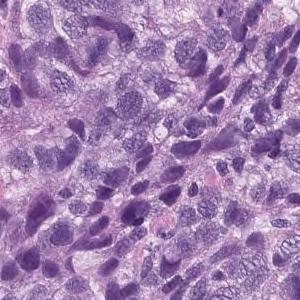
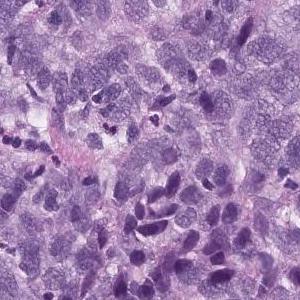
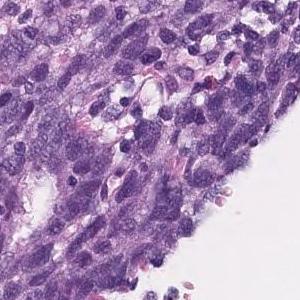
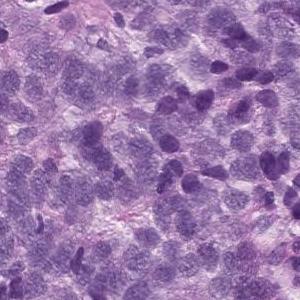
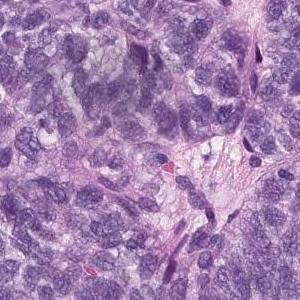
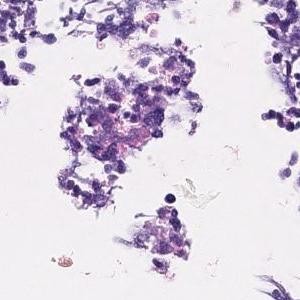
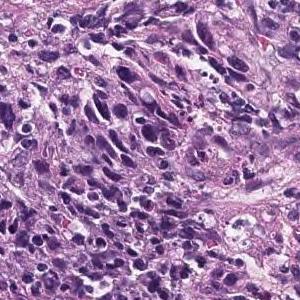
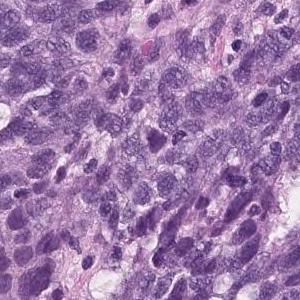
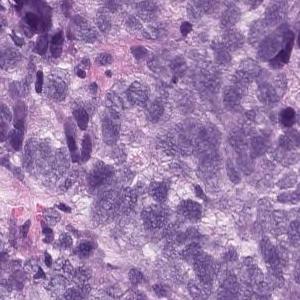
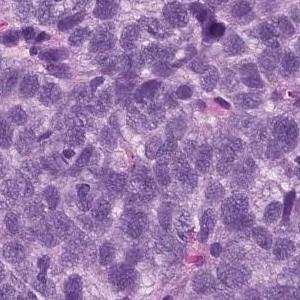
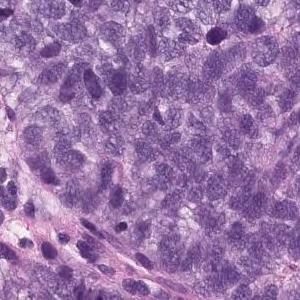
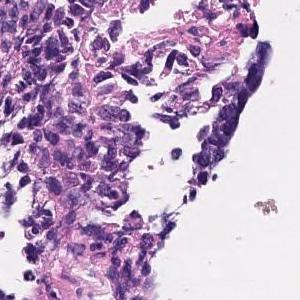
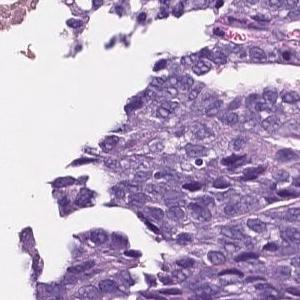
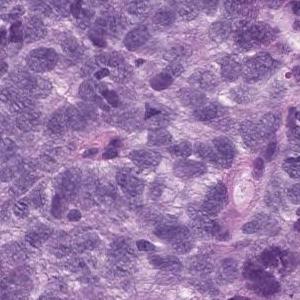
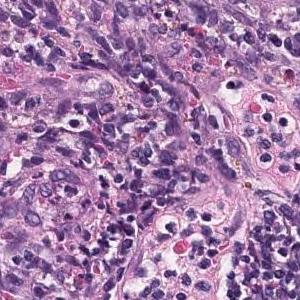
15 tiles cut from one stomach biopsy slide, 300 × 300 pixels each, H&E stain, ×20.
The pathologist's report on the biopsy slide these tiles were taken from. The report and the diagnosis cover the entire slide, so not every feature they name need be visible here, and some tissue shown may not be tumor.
Epithelial cells with swollen nuclei with atypia invasively proliferating while forming vesicles is observed. Poorly differentiated adenocarcinoma
Histological subtype: Poorly differentiated adenocarcinoma, solid type. This name comes from the Japanese Classification of Gastric Carcinoma; the WHO 2019 classification calls it tubular adenocarcinoma, poorly differentiated.
